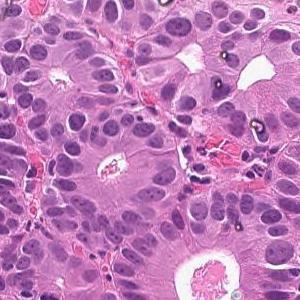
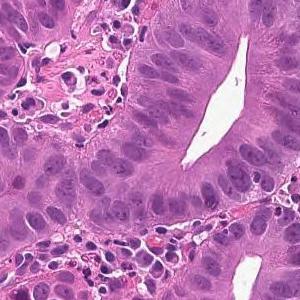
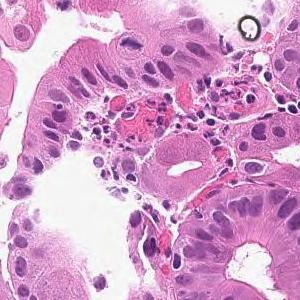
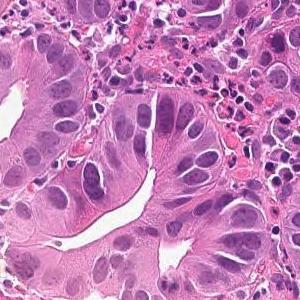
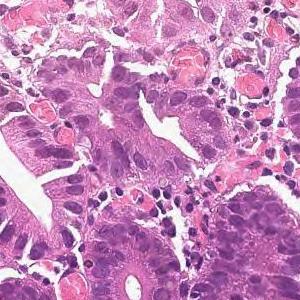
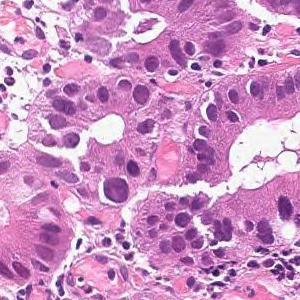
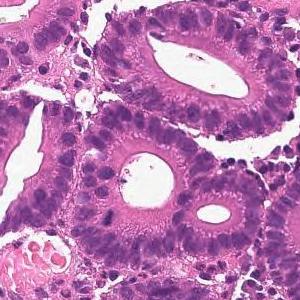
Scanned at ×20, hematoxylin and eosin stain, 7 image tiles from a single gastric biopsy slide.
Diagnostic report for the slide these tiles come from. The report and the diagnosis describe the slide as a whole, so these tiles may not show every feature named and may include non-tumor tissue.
From the superficial epithelium to the muscularis mucosae, tumor tissue consisting of medium-sized and irregular glandular ducts infiltrating is observed. Well differentiated tubular adenocarcinoma
